4 tiles from the same stomach biopsy slide.
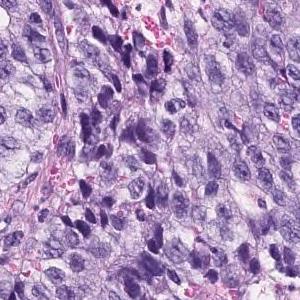
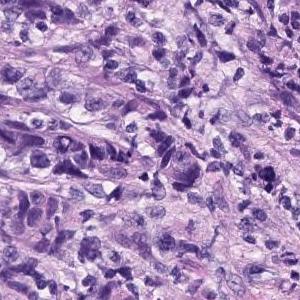
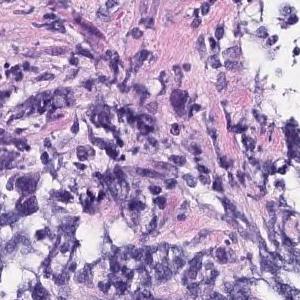
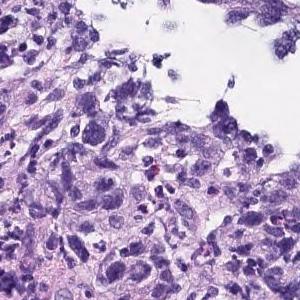
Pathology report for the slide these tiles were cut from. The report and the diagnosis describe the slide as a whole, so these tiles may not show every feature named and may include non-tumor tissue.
The superficial epithelium shows a large sheet-like shape, and some tumor tissue infiltrates with small irregular ducts. Poorly differentiated adenocarcinoma, solid-type
Subtype: Poorly differentiated adenocarcinoma, solid type, a category of the Japanese Classification of Gastric Carcinoma; in the WHO 2019 classification it is tubular adenocarcinoma, poorly differentiated.
